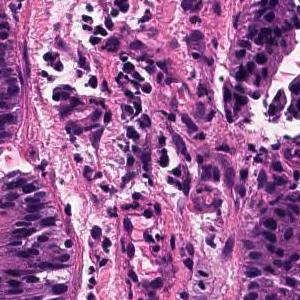
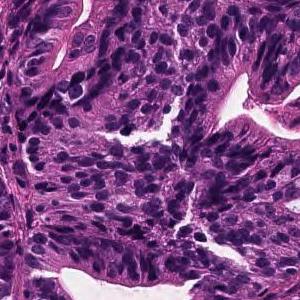
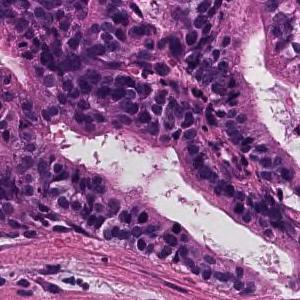
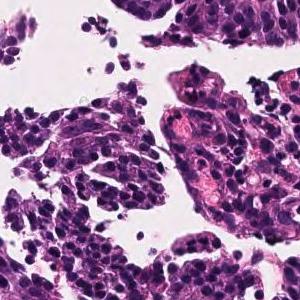
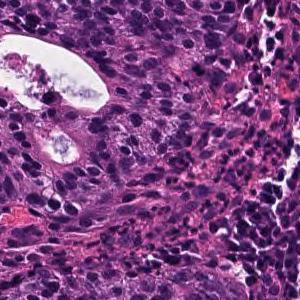
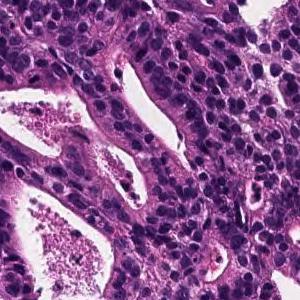
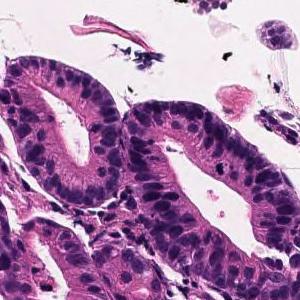
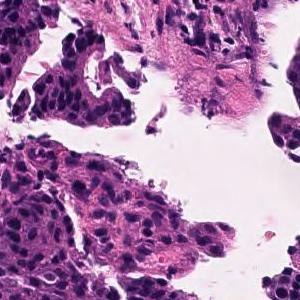
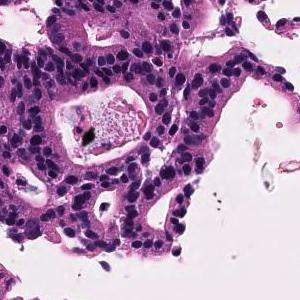
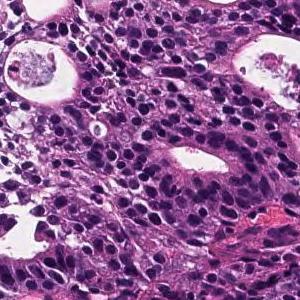
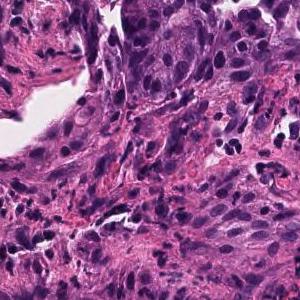
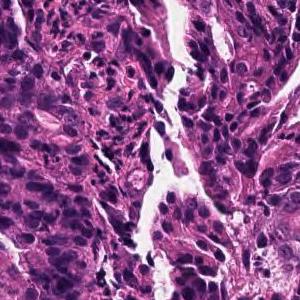
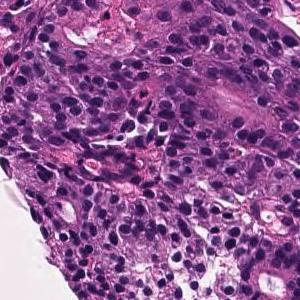
13 tiles from the same stomach biopsy slide · H&E · scanned at ×20.
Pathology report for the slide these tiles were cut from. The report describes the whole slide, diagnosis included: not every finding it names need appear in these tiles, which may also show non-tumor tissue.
In the superficial epithelium, tumor tissue that invades by forming medium-sized to small, irregular ducts is observed. Moderately differentiated adenocarcinoma.
Classified as moderately differentiated tubular adenocarcinoma.
